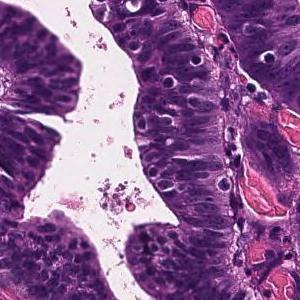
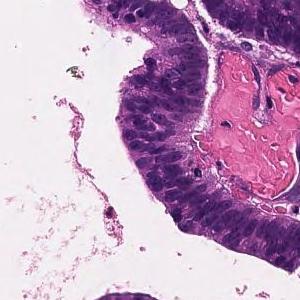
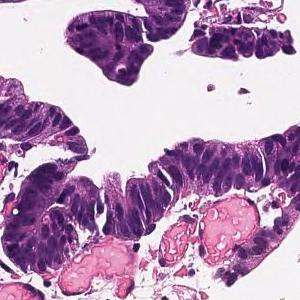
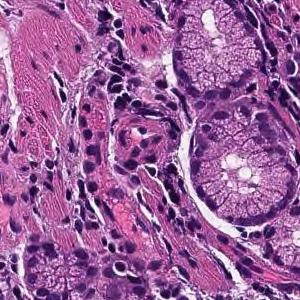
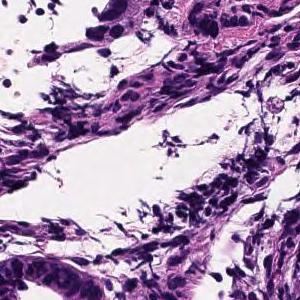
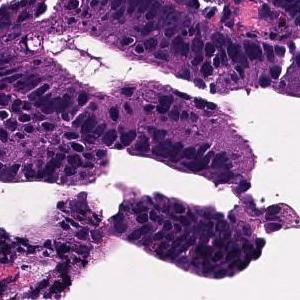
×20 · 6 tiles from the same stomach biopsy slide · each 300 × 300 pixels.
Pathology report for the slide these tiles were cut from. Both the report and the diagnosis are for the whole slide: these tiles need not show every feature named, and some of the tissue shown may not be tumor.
Tumor tissue consisting of large papillary structures is found in the superficial epithelium. Papillary adenocarcinoma.
